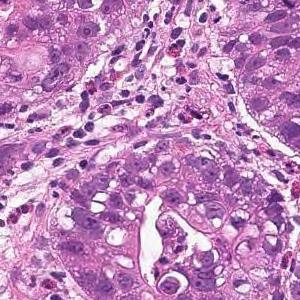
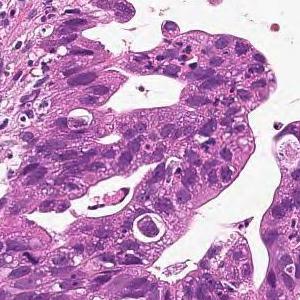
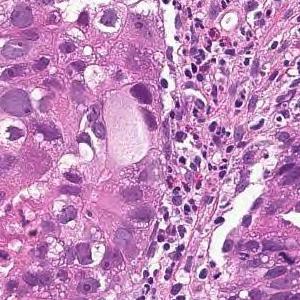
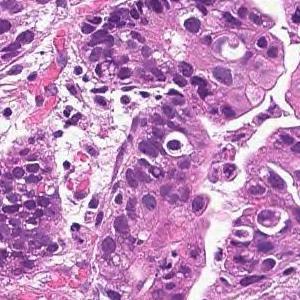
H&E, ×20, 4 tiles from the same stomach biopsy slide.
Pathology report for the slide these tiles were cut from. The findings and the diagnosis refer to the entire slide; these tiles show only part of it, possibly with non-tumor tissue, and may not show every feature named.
On the superficial epithelium, tumor tissue that infiltrates by forming medium-sized papillary or small irregular ducts is observed. Papillary adenocarcinoma
